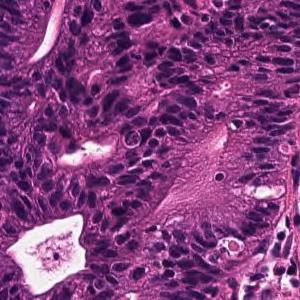
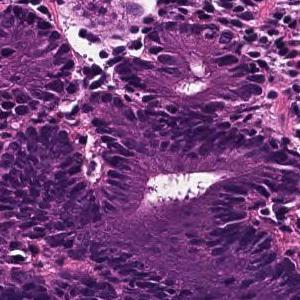
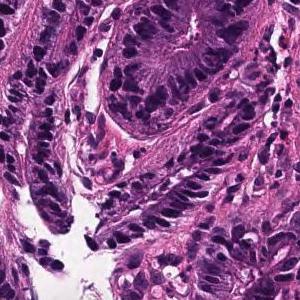
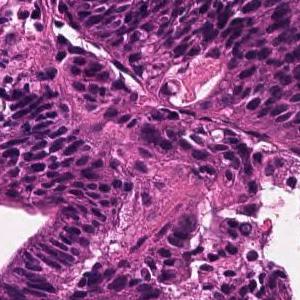
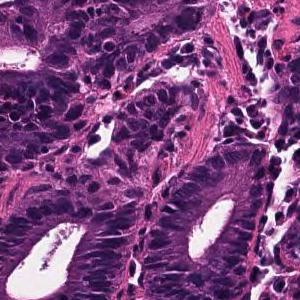
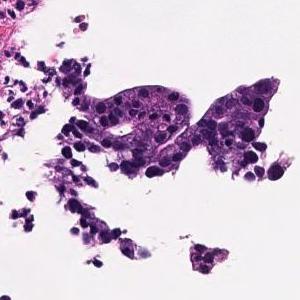
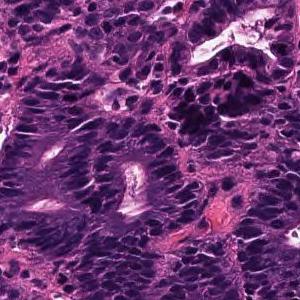
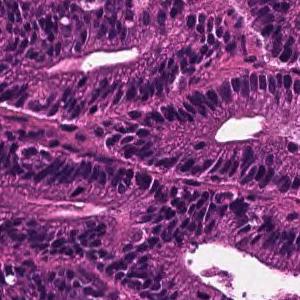
8 image tiles from a single gastric biopsy slide · scanned at ×20 · H&E stain.
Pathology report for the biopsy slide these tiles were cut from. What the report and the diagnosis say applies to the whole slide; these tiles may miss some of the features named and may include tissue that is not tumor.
Tumor tissue that remains within the superficial epithelium and is infiltrated by large papillary or irregular ducts that fuse with each other is observed. Well differentiated tubular adenocarcinoma
